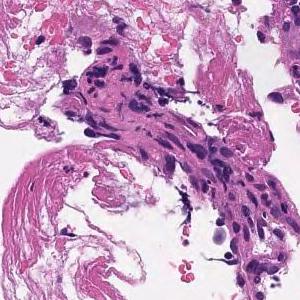
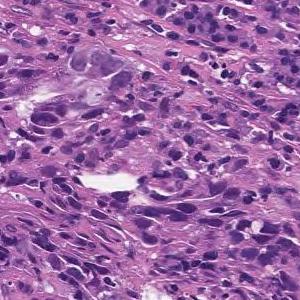
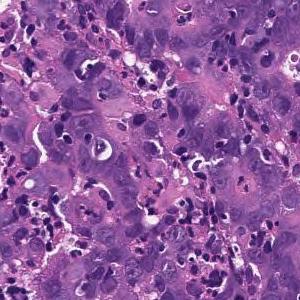
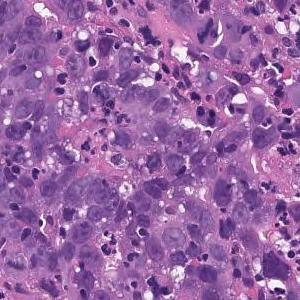
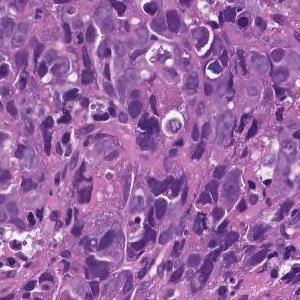
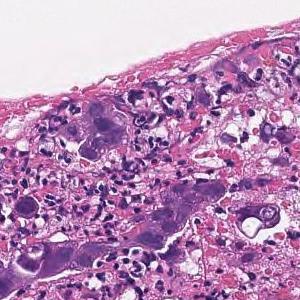
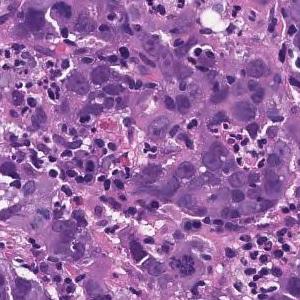
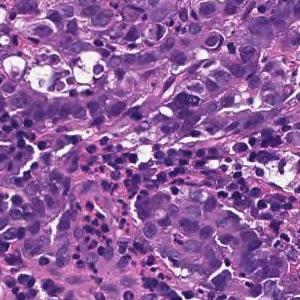
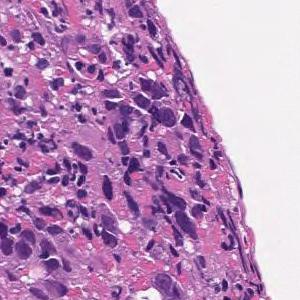
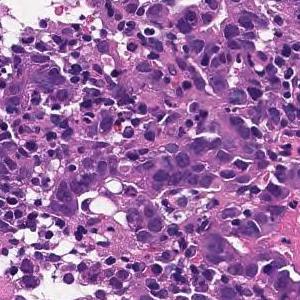
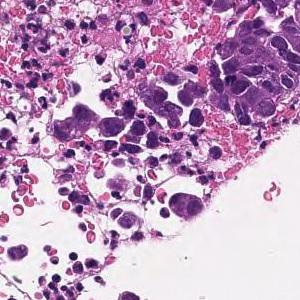
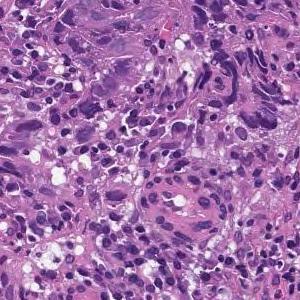
12 image tiles from a single gastric biopsy slide · 300×300 px each · hematoxylin and eosin stain.
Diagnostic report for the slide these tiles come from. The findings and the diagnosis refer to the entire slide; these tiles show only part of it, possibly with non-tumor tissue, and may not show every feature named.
Tumor tissue consisting of cord-like or small, irregular glandular ducts fused and infiltrated is observed in the superficial epithelium. Poorly differentiated adenocarcinoma, non-solid type
The term "non-solid type" comes from the Japanese Classification of Gastric Carcinoma.
